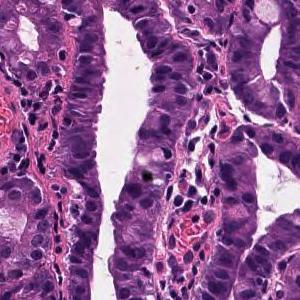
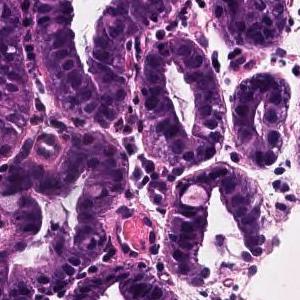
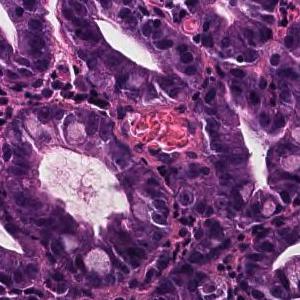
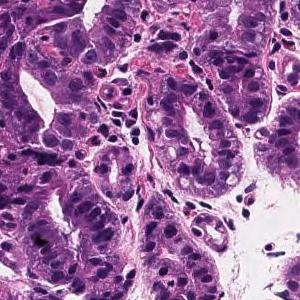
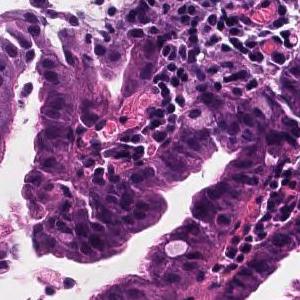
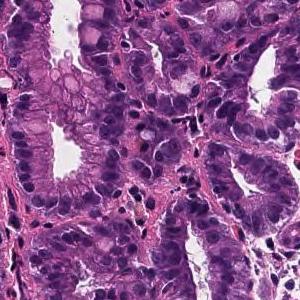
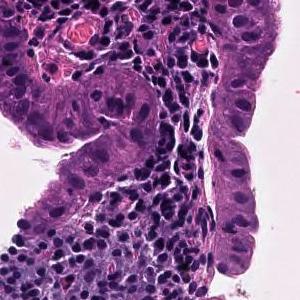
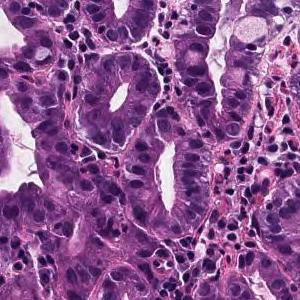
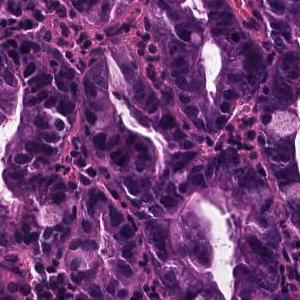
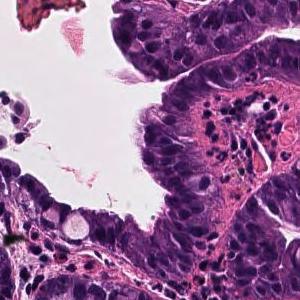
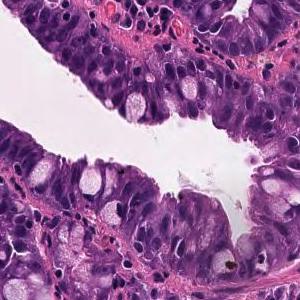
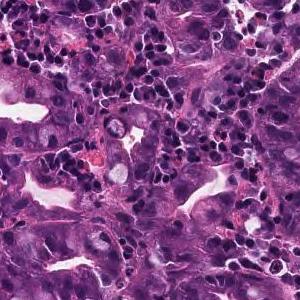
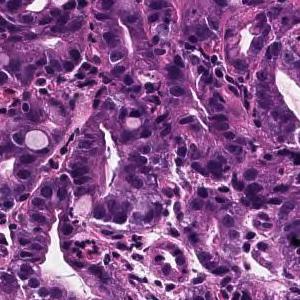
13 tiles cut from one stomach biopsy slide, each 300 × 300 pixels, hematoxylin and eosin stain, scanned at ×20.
Pathology report for the slide these tiles were cut from. Both the report and the diagnosis are for the whole slide: these tiles need not show every feature named, and some of the tissue shown may not be tumor.
Atypical tubular proliferation of well to moderately differentiated gastric gland with hyperchromatic nuclei and high N:C ratio. Mitotic figures were also present. These histological findings were suggestive of well to moderately differentiated tubular adenocarcinoma (well differentiated tubular adenocarcinoma, moderately differentiated tubular adenocarcinoma).
Dataset label: well differentiated tubular adenocarcinoma.
